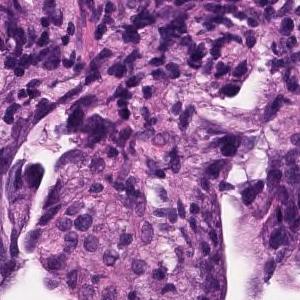
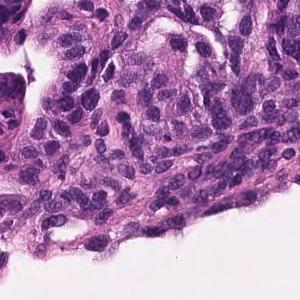
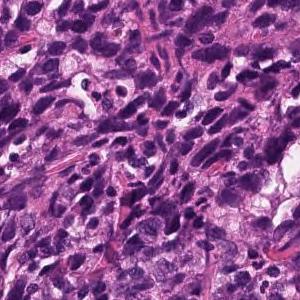
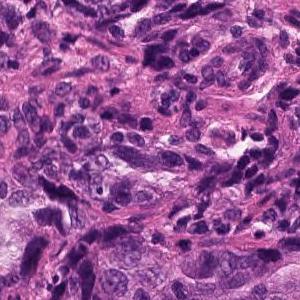
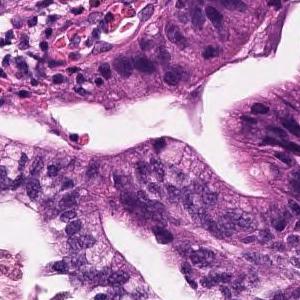
5 image tiles from a single gastric biopsy slide; each 300 × 300 pixels; ×20; H&E.
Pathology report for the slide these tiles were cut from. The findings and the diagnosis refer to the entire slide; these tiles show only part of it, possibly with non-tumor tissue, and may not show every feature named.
In the superficial epithelium, tumor tissue that invades by forming medium-sized to small, irregular ducts is observed. Moderately differentiated adenocarcinoma.
Classified as moderately differentiated tubular adenocarcinoma.
